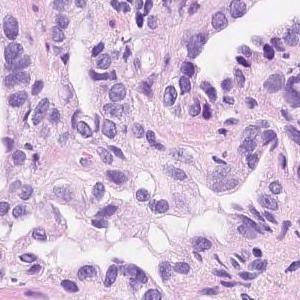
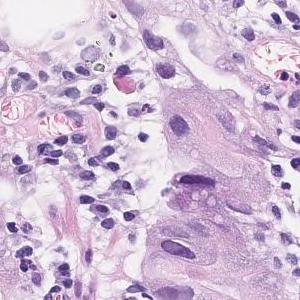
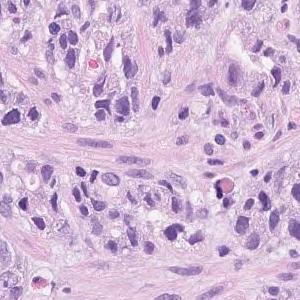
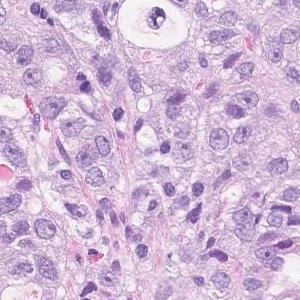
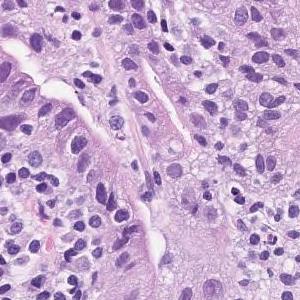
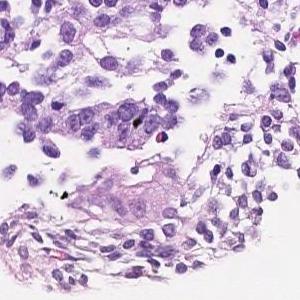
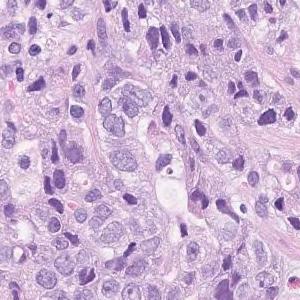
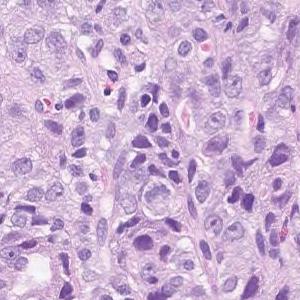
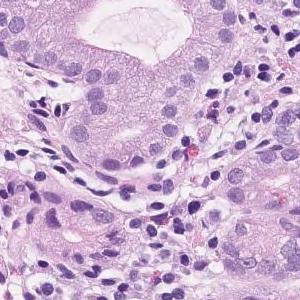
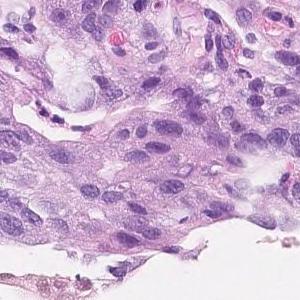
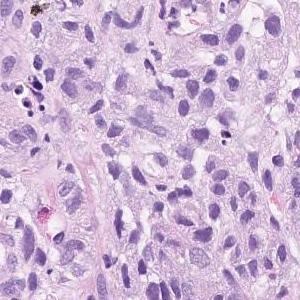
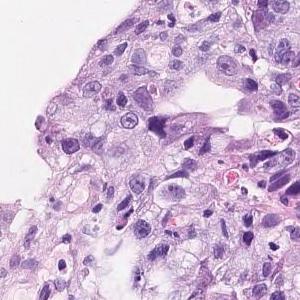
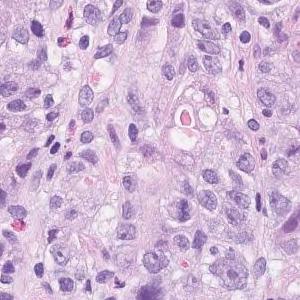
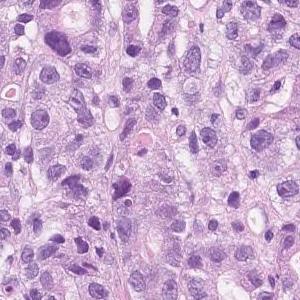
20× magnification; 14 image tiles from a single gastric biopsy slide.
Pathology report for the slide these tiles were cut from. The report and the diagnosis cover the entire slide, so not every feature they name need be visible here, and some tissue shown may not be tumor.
In the superficial epithelium, tumor tissue that invades by forming medium-sized to small, irregular ducts is observed. Moderately to poorly differentiated adenocarcinoma
